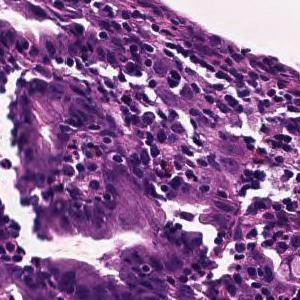
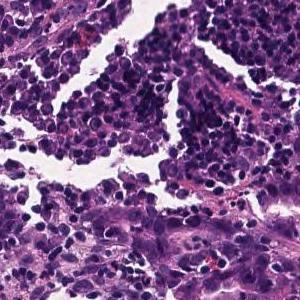
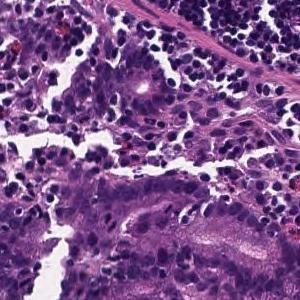
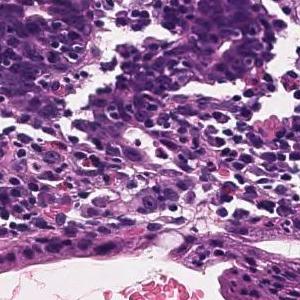
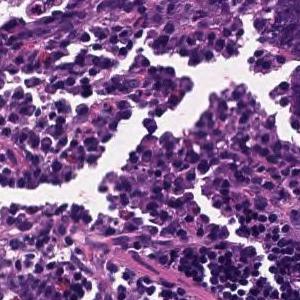
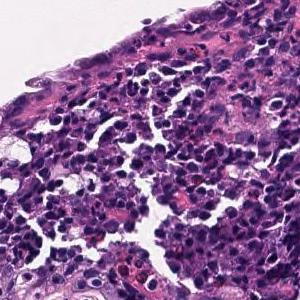
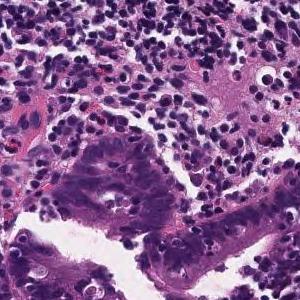
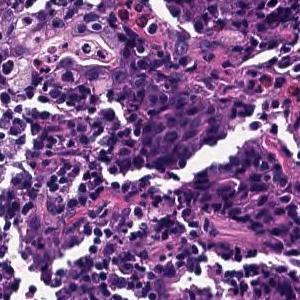
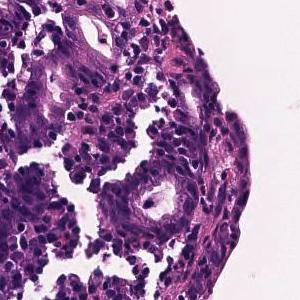
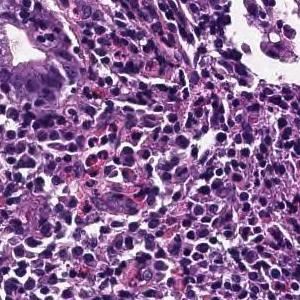
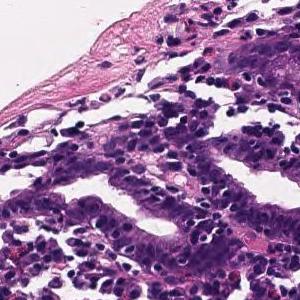
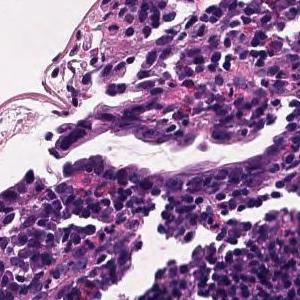
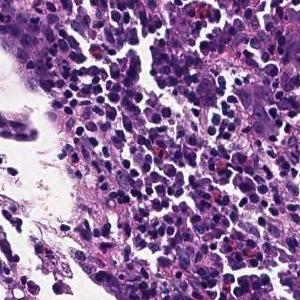
13 tiles from the same stomach biopsy slide; each 300 × 300 pixels; hematoxylin and eosin stain; scanned at ×20.
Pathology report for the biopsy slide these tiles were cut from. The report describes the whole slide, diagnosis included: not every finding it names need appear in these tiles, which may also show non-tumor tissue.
Tumor tissue consisting of medium-sized, cord-like or irregular glandular infiltration is observed in the superficial epithelium. Poorly differentiated adenocarcinoma, non-solid type or moderately differentiated tubular adenocarcinoma
Histological subtype: Moderately to poorly differentiated adenocarcinoma.
"Non-solid type" is a category of the Japanese Classification of Gastric Carcinoma.
